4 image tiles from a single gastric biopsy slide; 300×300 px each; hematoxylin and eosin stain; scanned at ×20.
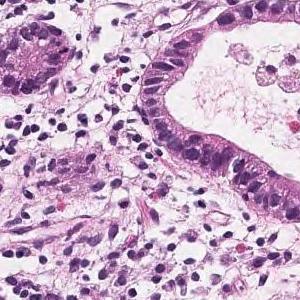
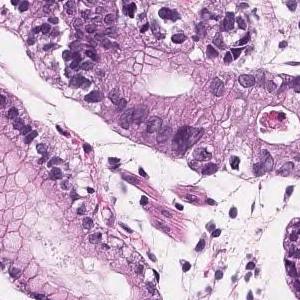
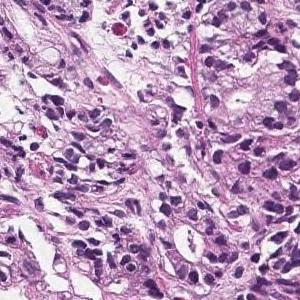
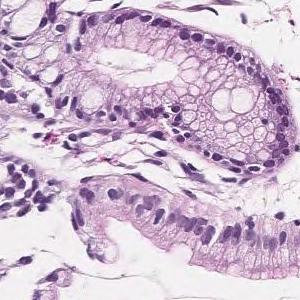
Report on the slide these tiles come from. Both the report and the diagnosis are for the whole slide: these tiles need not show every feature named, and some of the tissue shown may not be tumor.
In the superficial epithelium, tumor tissue that invades by forming medium-sized to small, irregular ducts is observed. Well differentiated tubular adenocarcinoma.
